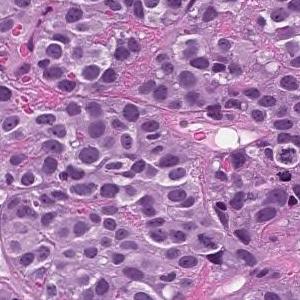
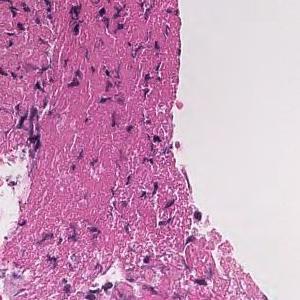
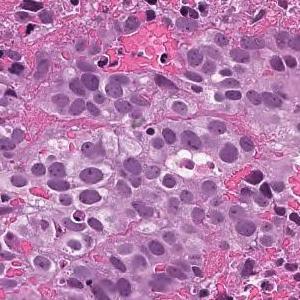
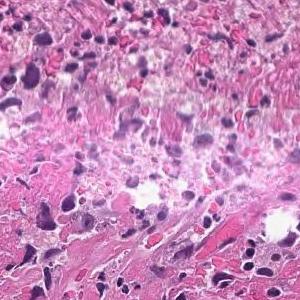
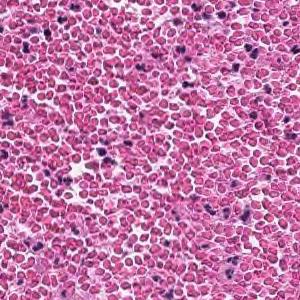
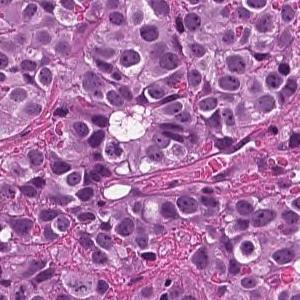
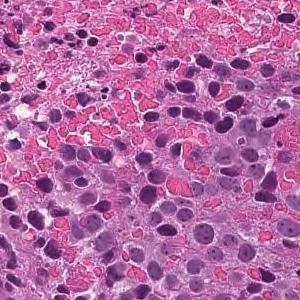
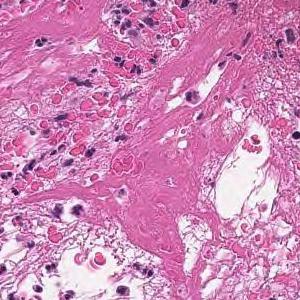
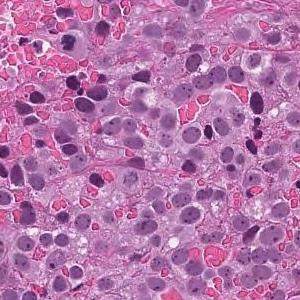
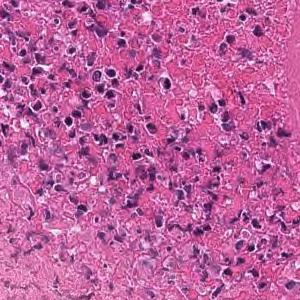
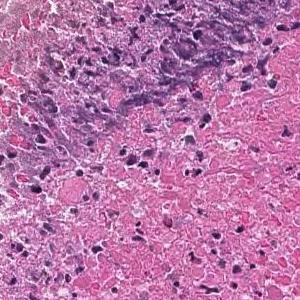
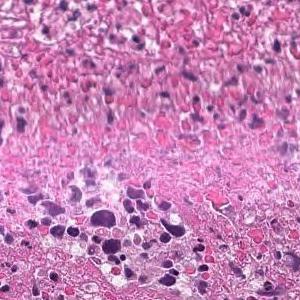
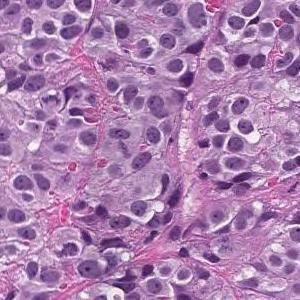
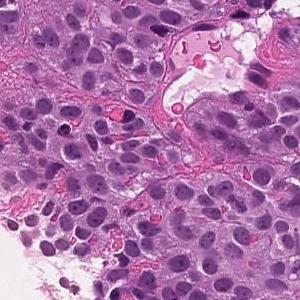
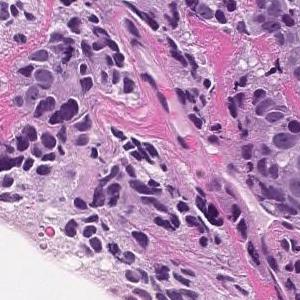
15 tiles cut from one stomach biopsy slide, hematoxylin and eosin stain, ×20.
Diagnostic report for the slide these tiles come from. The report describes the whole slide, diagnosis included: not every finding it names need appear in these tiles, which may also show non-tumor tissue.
The superficial epithelium shows a large sheet-like shape, and some tumor tissue infiltrates with small irregular ducts. Poorly differentiated adenocarcinoma, solid-type
Tumor subtype: poorly differentiated adenocarcinoma, solid type, a category of the Japanese Classification of Gastric Carcinoma; in the WHO 2019 classification it is tubular adenocarcinoma, poorly differentiated.
